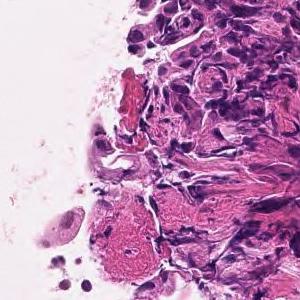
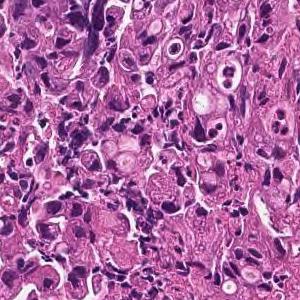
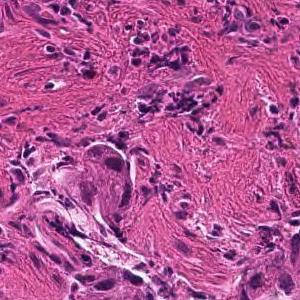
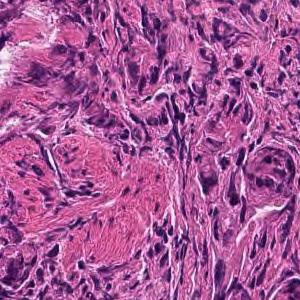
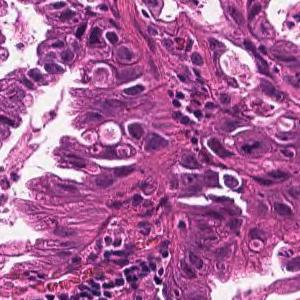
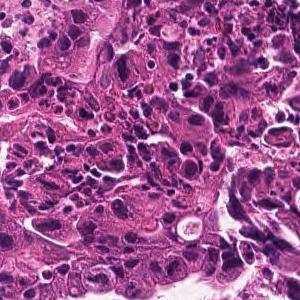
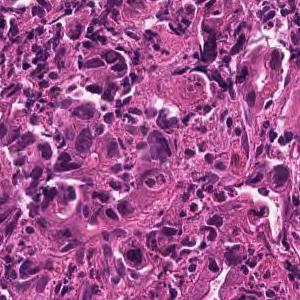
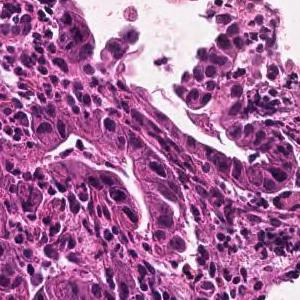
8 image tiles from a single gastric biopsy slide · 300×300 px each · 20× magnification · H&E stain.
Pathology report for the slide these tiles were cut from. The report and the diagnosis describe the slide as a whole, so these tiles may not show every feature named and may include non-tumor tissue.
Medium to small, irregular glandular ducts are formed in the superficial epithelium, and in some cases, the glandular ducts are fused to show solid alveolar lesions and infiltrating tumor tissue is observed. Moderately to poorly differentiated adenocarcinoma.
